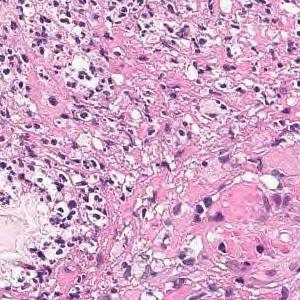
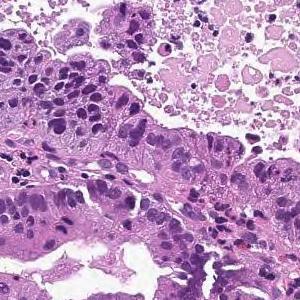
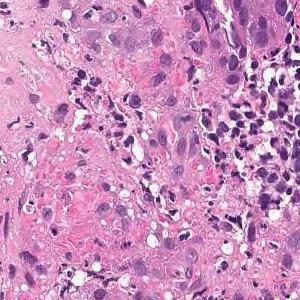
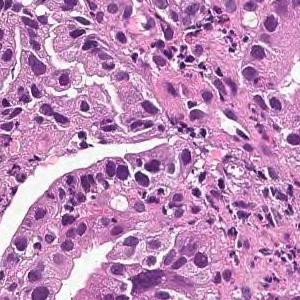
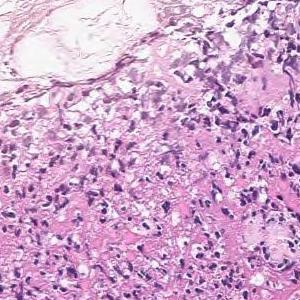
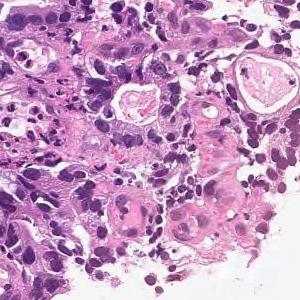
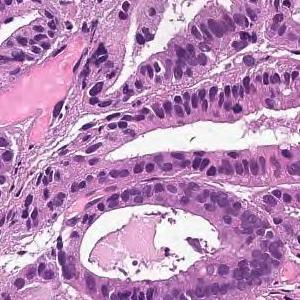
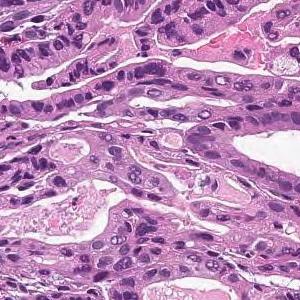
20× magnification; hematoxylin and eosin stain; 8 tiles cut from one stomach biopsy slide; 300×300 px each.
Pathology report for the slide these tiles were cut from. The report describes the whole slide, diagnosis included: not every finding it names need appear in these tiles, which may also show non-tumor tissue.
From the superficial epithelium to the muscularis mucosae, tumor tissue consisting of medium-sized and irregular glandular ducts infiltrating is observed. Well differentiated tubular adenocarcinoma
